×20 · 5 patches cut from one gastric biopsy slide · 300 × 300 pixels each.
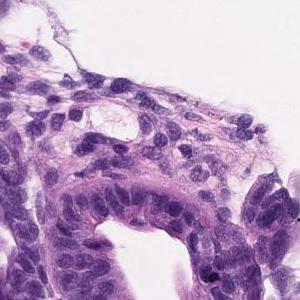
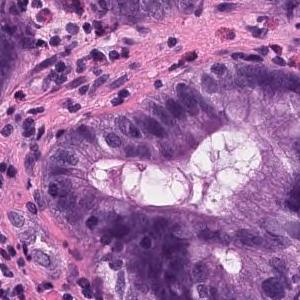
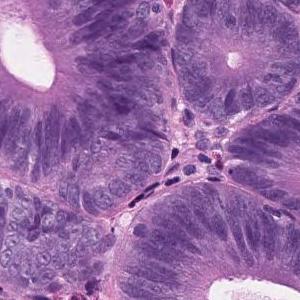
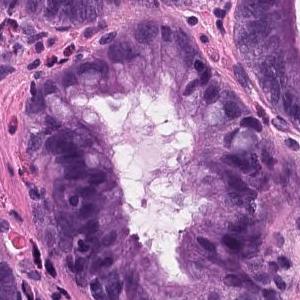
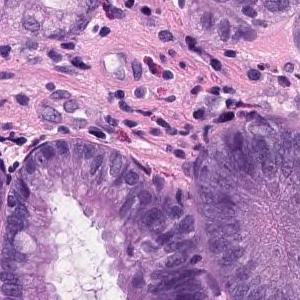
Pathology report for the slide these tiles were cut from. The report describes the whole slide, diagnosis included: not every finding it names need appear in these tiles, which may also show non-tumor tissue.
On the superficial epithelium, tumor tissue with densely growing medium to large, round tubules is observed. Tumor cells are highly columnar, with nuclei aligned basolaterally and polarized. Well differentiated tubular adenocarcinoma
